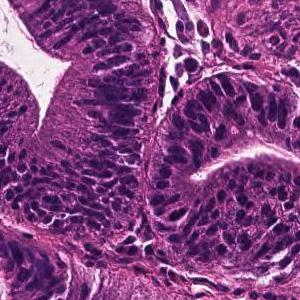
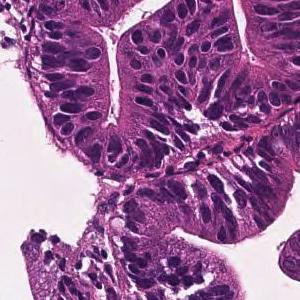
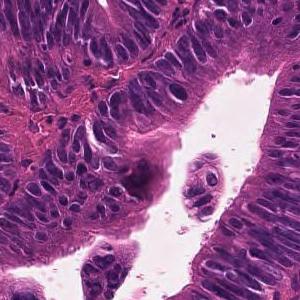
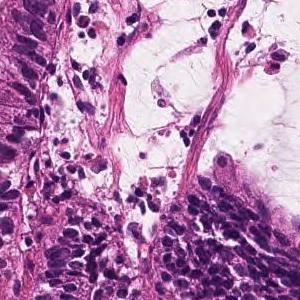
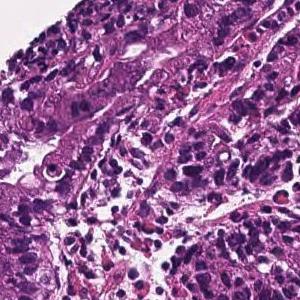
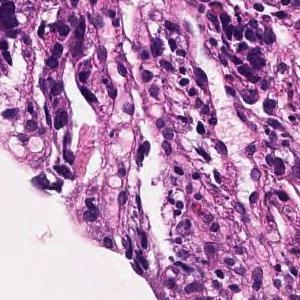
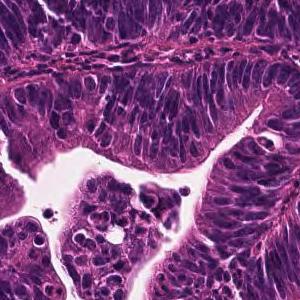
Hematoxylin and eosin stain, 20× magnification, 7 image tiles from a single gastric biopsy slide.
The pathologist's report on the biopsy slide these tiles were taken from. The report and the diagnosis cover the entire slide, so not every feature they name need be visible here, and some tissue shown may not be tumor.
A large irregular tubular structure is exhibited in the epithelium, and tumor tissue that partially fuses and infiltrates and proliferates is observed. Large columnar tumor cells exhibit enlarged nucleus, hyperchromatism, and mitotic figures. Well differentiated tubular adenocarcinoma
